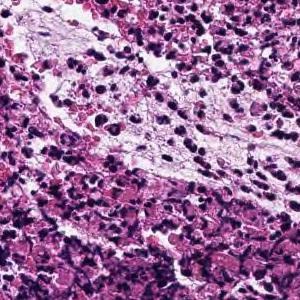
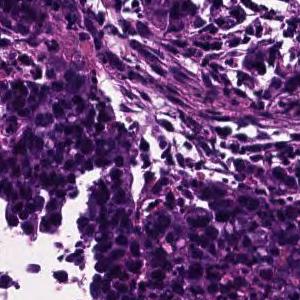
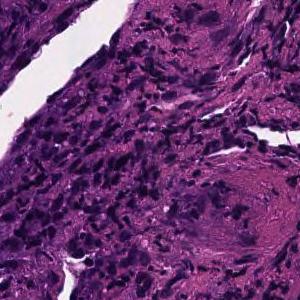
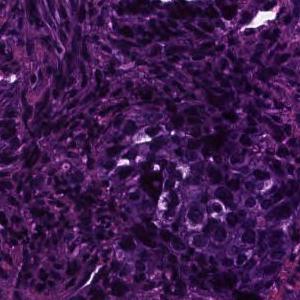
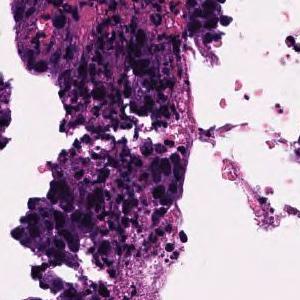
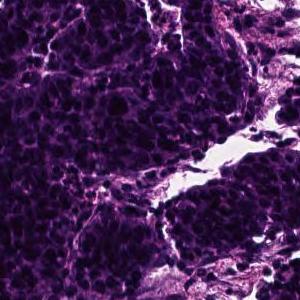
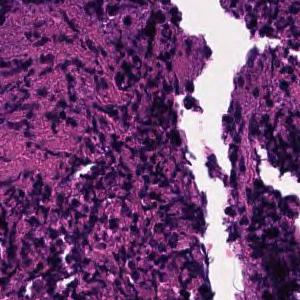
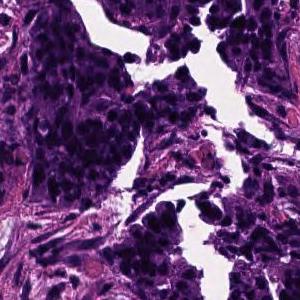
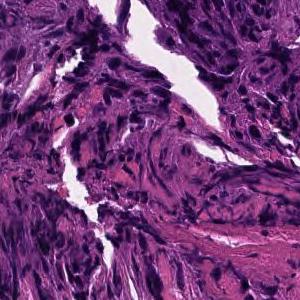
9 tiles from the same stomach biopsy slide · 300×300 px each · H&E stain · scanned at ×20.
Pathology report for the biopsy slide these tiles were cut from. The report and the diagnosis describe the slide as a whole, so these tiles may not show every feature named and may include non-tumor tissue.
In the superficial epithelium, tumor tissue that invades by forming medium-sized to small, irregular ducts is observed. moderately differentiated tubular adenocarcinoma.
